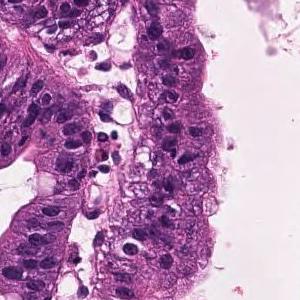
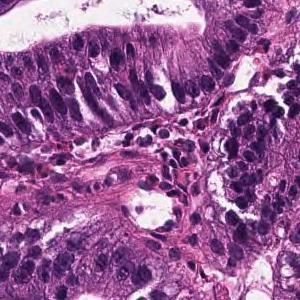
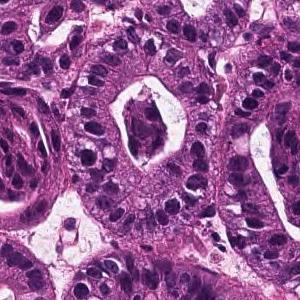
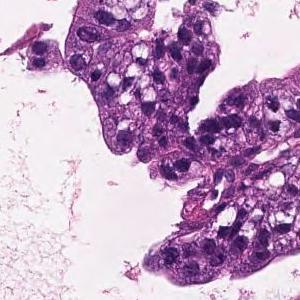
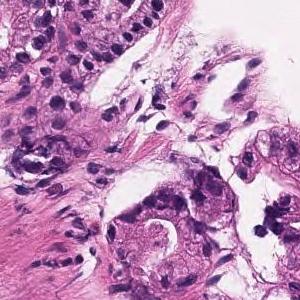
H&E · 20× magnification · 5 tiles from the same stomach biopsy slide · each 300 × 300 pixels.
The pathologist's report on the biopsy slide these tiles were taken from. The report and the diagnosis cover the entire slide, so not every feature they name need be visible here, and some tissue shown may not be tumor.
On the superficial epithelium, tumor tissue that infiltrates by forming medium-sized papillary or small irregular ducts is observed. Papillary adenocarcinoma
